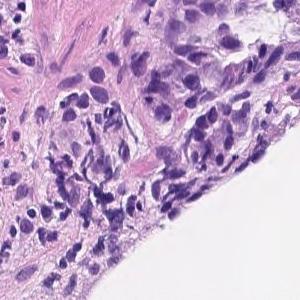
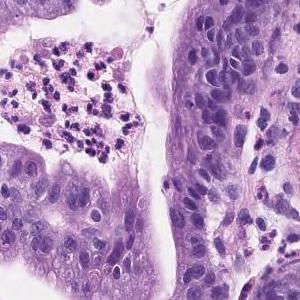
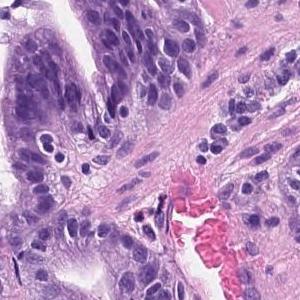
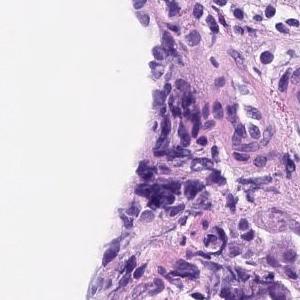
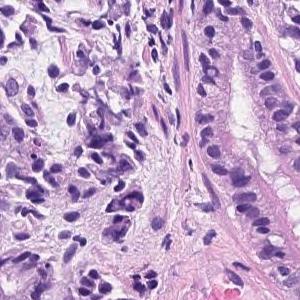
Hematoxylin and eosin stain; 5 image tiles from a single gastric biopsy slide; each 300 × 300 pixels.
Pathology report for the biopsy slide these tiles were cut from. Both the report and the diagnosis are for the whole slide: these tiles need not show every feature named, and some of the tissue shown may not be tumor.
Tumor tissue consisting of medium-sized and irregular ducts is observed infiltrating in the superficial epithelium. Tumor cells are highly columnar, with nuclei aligned basolaterally and polarized. Well differentiated tubular adenocarcinoma.
